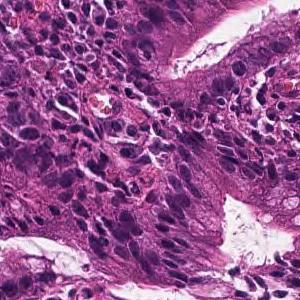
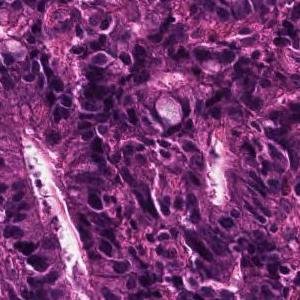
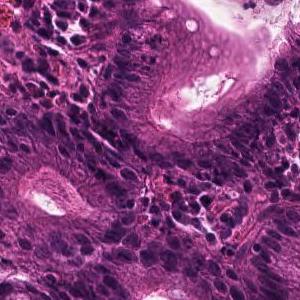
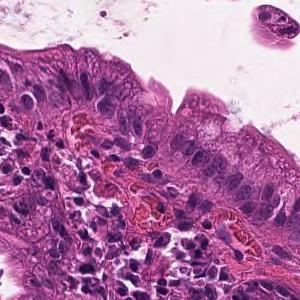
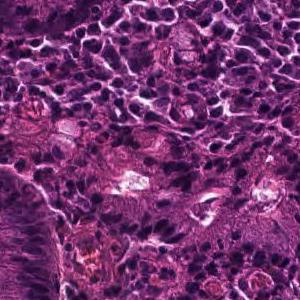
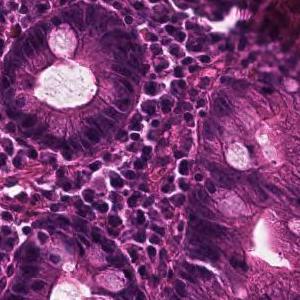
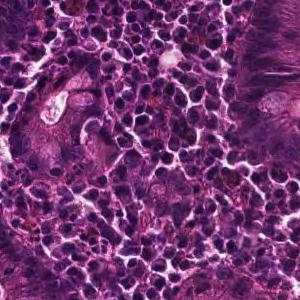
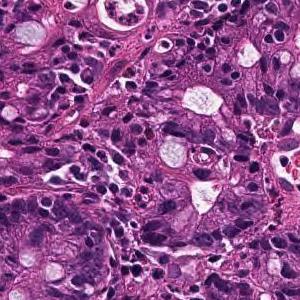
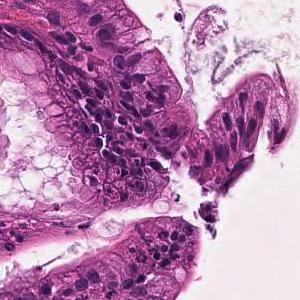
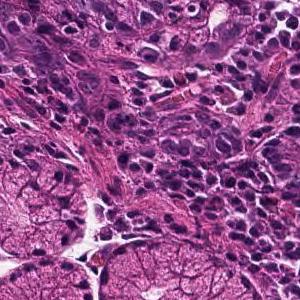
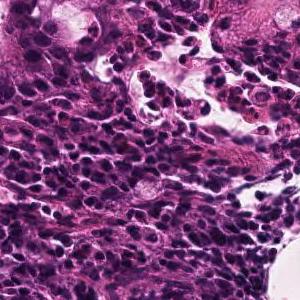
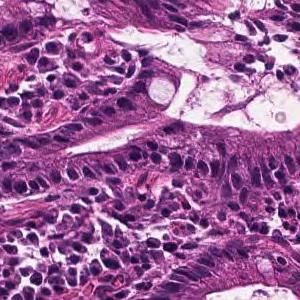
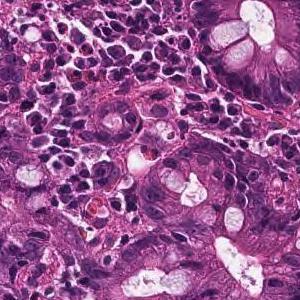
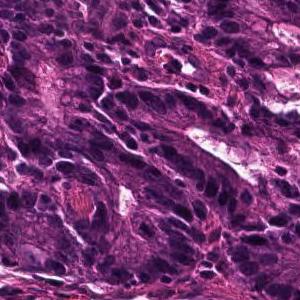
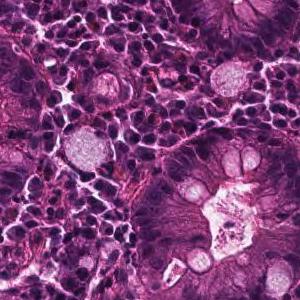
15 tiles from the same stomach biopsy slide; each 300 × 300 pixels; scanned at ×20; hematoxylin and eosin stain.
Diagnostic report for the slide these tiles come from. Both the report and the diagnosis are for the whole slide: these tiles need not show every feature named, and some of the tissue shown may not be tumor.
In the superficial epithelium, tumor tissue that invades by forming medium-sized to small, irregular ducts is observed. moderately differentiated tubular adenocarcinoma.
